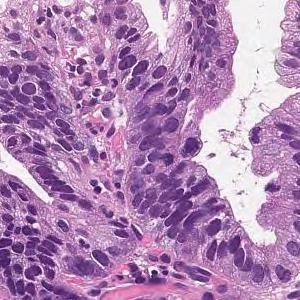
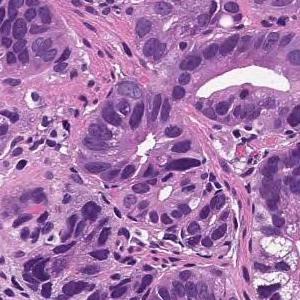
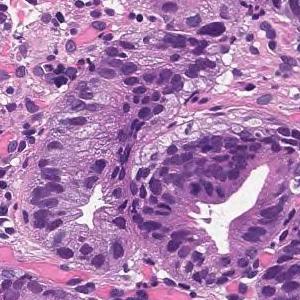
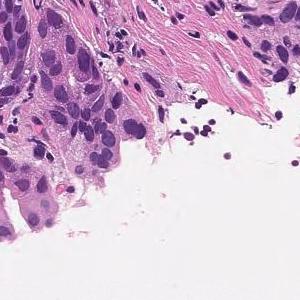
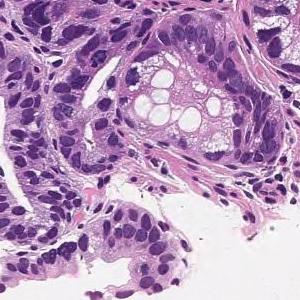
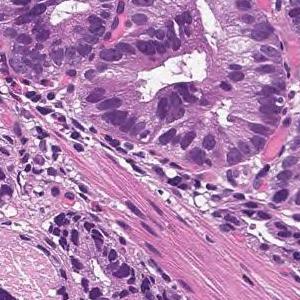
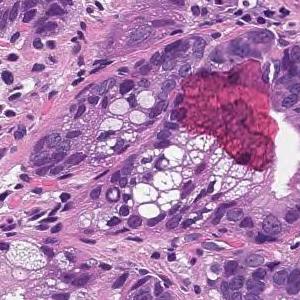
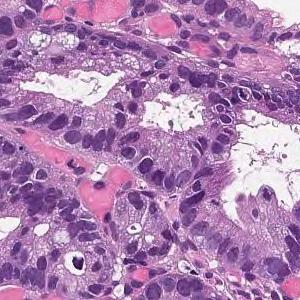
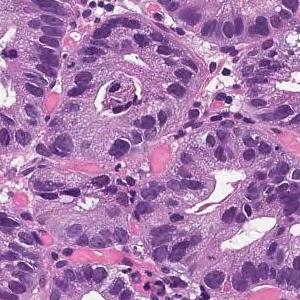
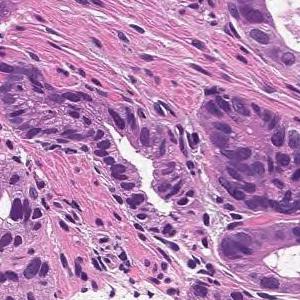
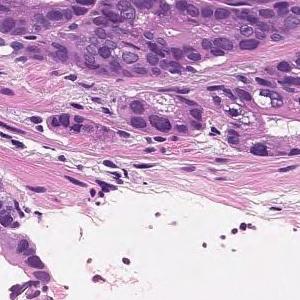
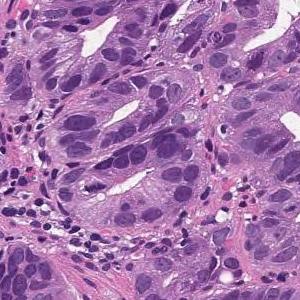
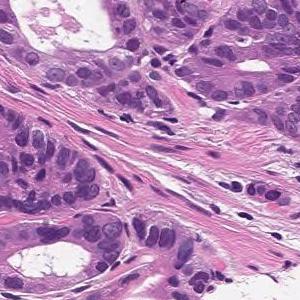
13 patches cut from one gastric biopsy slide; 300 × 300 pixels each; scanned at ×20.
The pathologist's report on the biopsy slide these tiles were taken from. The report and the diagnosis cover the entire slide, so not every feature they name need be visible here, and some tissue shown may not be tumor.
On the superficial epithelium, tumor tissue consisting of large irregular glandular ducts partially fused and infiltrated is observed. Well to moderately differentiated tubular adenocarcinoma (well differentiated tubular adenocarcinoma, moderately differentiated tubular adenocarcinoma)
Classified as well to moderately differentiated tubular adenocarcinoma.
